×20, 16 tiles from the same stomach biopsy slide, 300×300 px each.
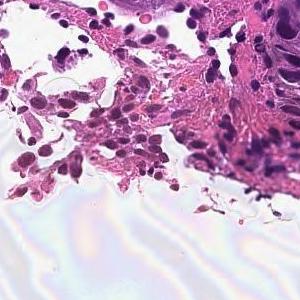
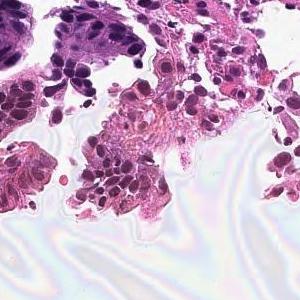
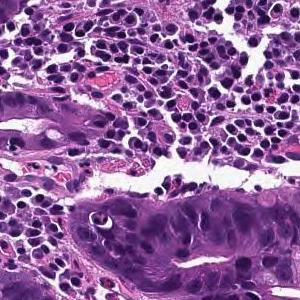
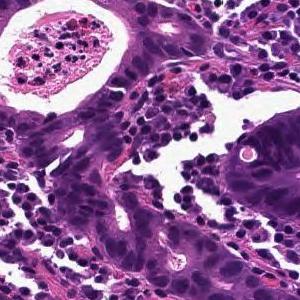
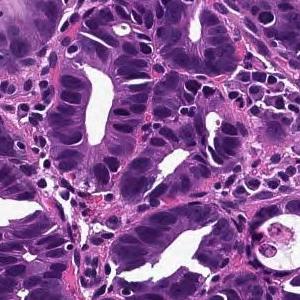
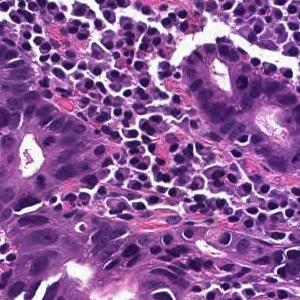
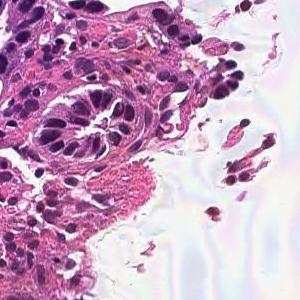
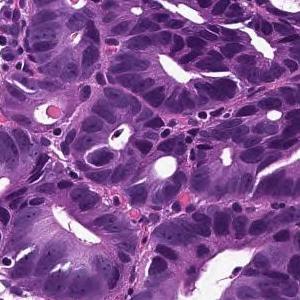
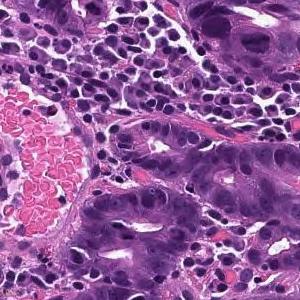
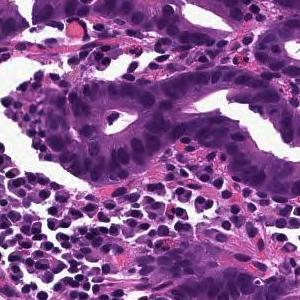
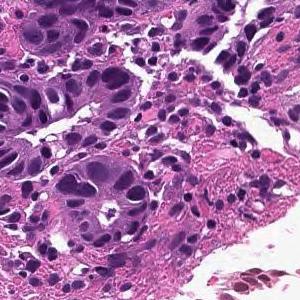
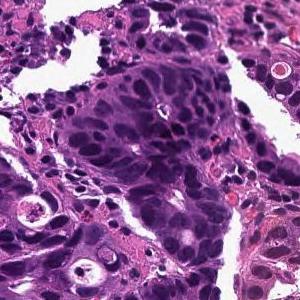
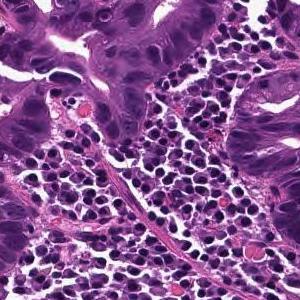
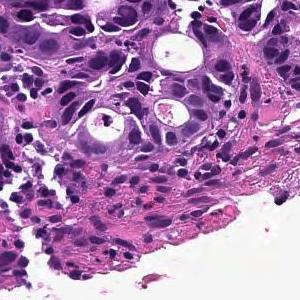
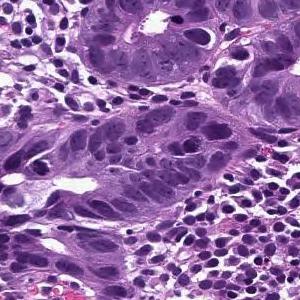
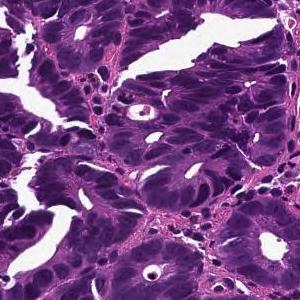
The pathologist's report on the biopsy slide these tiles were taken from. The report and the diagnosis describe the slide as a whole, so these tiles may not show every feature named and may include non-tumor tissue.
From the superficial epithelium to the muscularis mucosae, tumor tissue consisting of medium-sized and irregular glandular ducts infiltrating is observed. Well differentiated tubular adenocarcinoma
